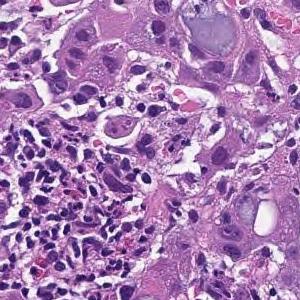
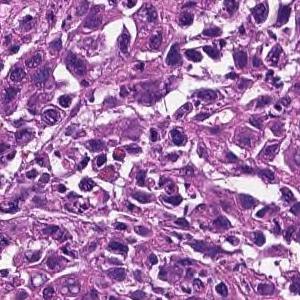
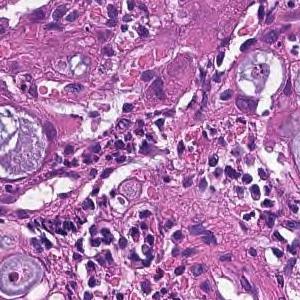
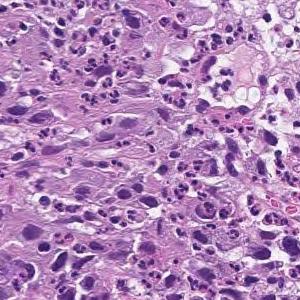
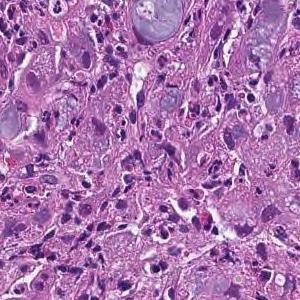
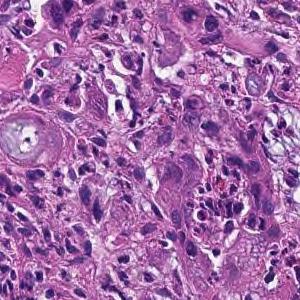
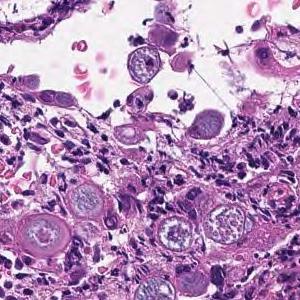
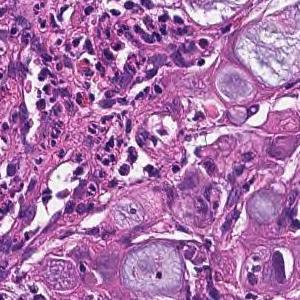
8 patches cut from one gastric biopsy slide; H&E stain; ×20.
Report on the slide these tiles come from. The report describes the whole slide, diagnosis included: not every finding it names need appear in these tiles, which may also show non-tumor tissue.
The superficial epithelium shows a large sheet-like shape, and some tumor tissue infiltrates with small irregular ducts. Poorly differentiated adenocarcinoma, solid-type
Tumor subtype: poorly differentiated adenocarcinoma, solid type, a category of the Japanese Classification of Gastric Carcinoma; in the WHO 2019 classification it is tubular adenocarcinoma, poorly differentiated.
